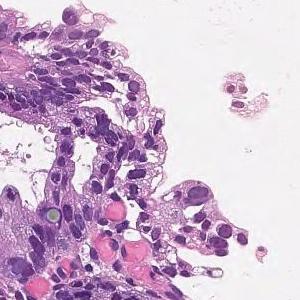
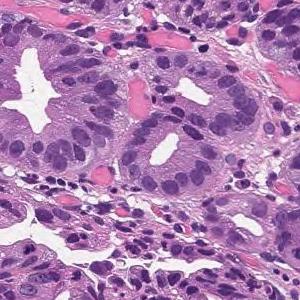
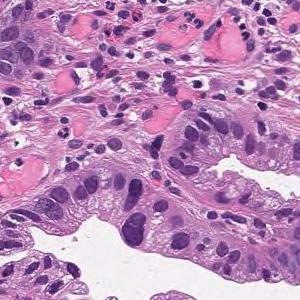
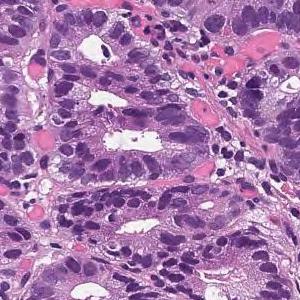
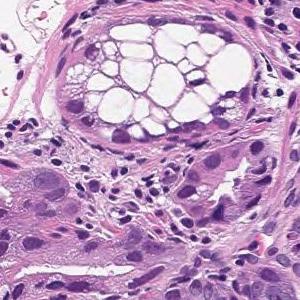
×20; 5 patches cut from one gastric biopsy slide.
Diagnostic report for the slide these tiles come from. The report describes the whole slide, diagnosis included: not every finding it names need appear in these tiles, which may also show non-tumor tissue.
On the superficial epithelium, tumor tissue consisting of large irregular glandular ducts partially fused and infiltrated is observed. Well to moderately differentiated tubular adenocarcinoma (well differentiated tubular adenocarcinoma, moderately differentiated tubular adenocarcinoma)
Classified as well to moderately differentiated tubular adenocarcinoma.
